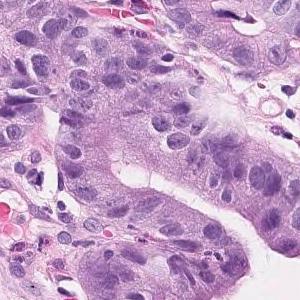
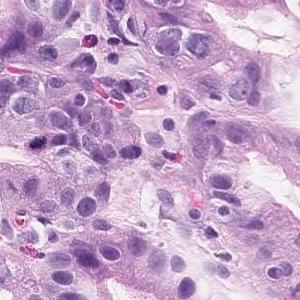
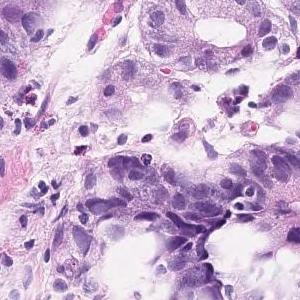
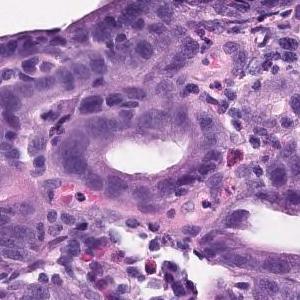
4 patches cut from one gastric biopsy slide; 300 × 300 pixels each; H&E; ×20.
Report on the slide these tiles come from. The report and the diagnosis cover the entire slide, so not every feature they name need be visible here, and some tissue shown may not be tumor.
On the superficial epithelium, tumor tissue consisting of medium-sized to large-sized, round or irregular glandular duct growth images is observed. Well differentiated adenocarcinoma.
Histologic type: Well differentiated tubular adenocarcinoma.
